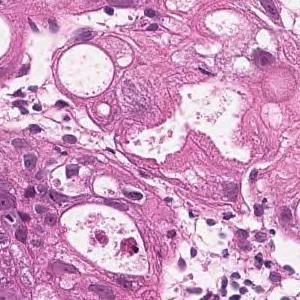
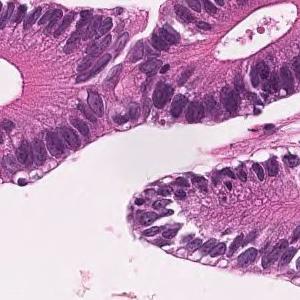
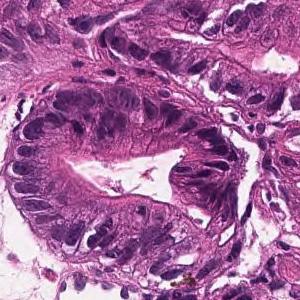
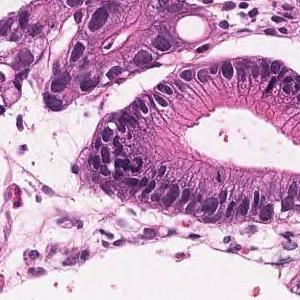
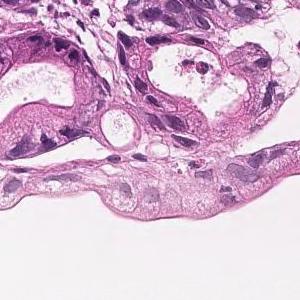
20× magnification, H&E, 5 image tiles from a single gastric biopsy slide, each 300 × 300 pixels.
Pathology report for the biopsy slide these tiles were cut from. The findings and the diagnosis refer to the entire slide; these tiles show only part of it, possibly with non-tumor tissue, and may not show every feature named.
On the superficial epithelium, tumor tissue that infiltrates by forming medium-sized papillary or small irregular ducts is observed. Papillary adenocarcinoma
